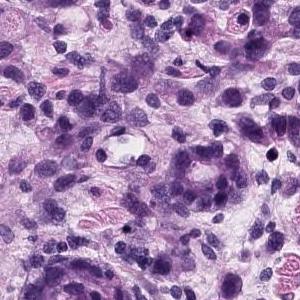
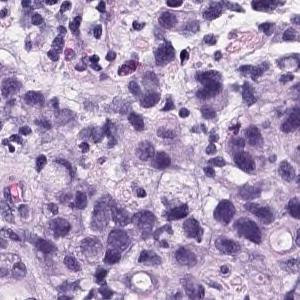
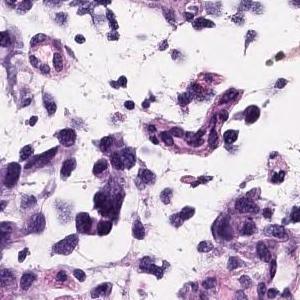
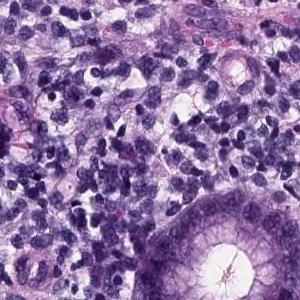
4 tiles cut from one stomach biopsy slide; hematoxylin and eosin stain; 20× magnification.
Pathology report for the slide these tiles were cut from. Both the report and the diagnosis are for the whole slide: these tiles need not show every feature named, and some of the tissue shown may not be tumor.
Group 5, Adenocarcinoma. Poorly differentiated adenocarcinoma, non-solid type
The non-solid type named here is a Japanese Classification of Gastric Carcinoma category.
